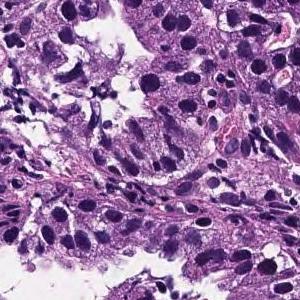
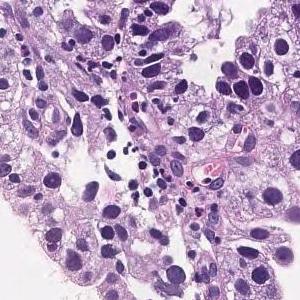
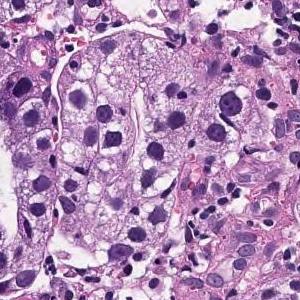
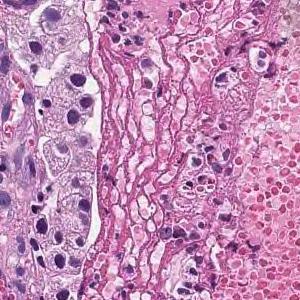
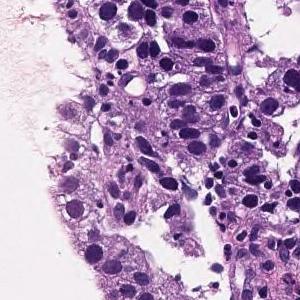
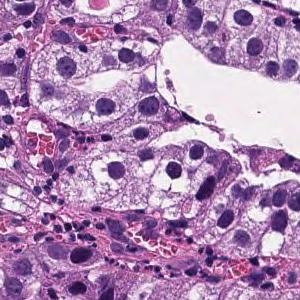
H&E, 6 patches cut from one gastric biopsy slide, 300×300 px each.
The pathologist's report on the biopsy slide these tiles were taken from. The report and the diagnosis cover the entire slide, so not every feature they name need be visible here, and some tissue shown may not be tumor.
On the superficial epithelium, tumor tissue that infiltrates by forming medium-sized papillary or small irregular ducts is observed. Papillary adenocarcinoma
